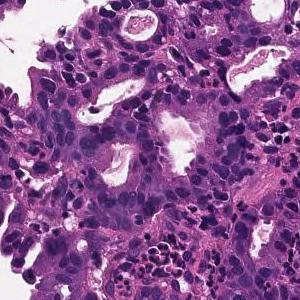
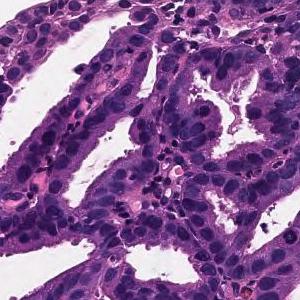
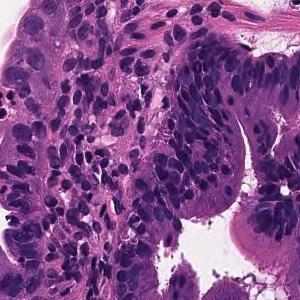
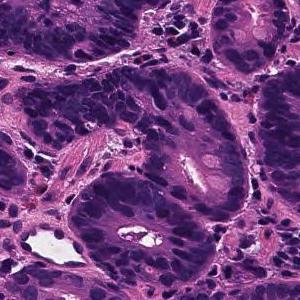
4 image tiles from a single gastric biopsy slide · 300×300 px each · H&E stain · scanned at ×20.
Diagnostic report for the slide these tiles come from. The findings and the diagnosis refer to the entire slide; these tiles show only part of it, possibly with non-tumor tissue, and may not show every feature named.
On the superficial epithelium, tumor tissue is found in which medium-sized irregular gland ducts fuse with each other and infiltrate. moderately differentiated tubular adenocarcinoma
